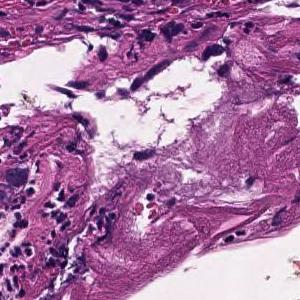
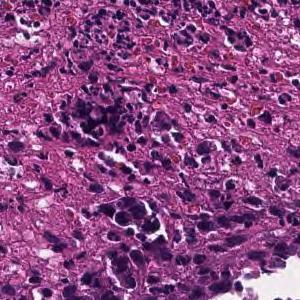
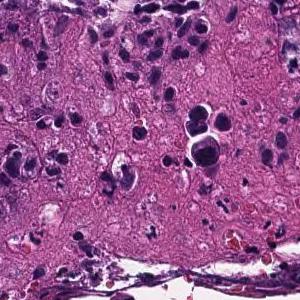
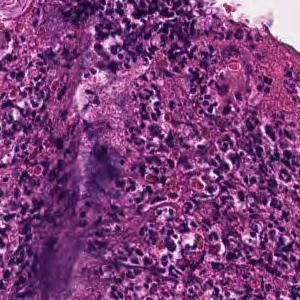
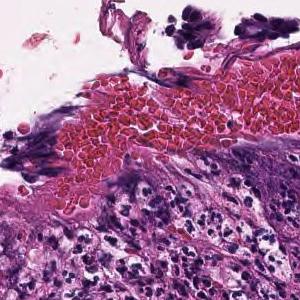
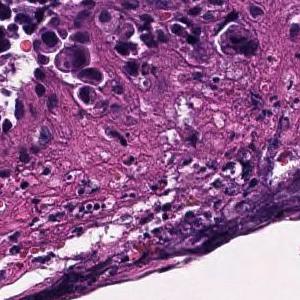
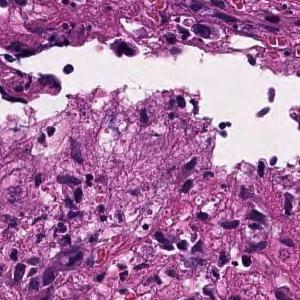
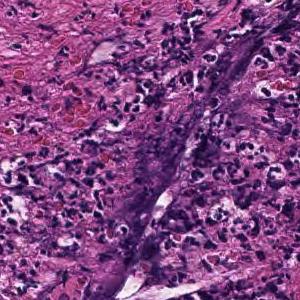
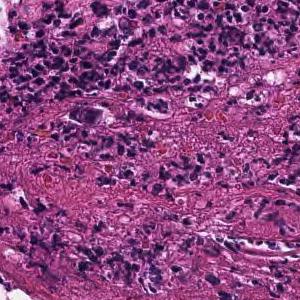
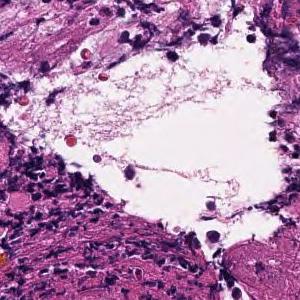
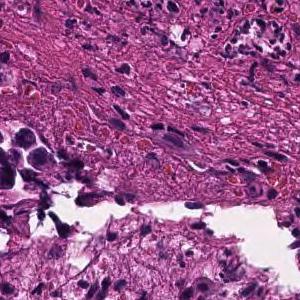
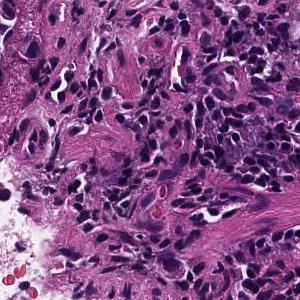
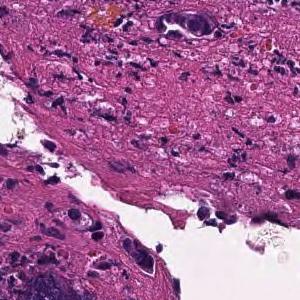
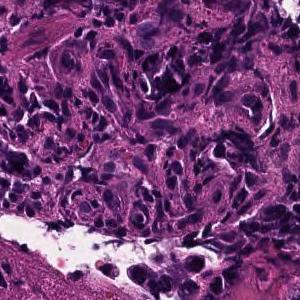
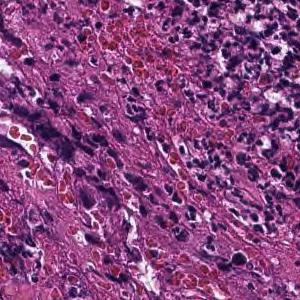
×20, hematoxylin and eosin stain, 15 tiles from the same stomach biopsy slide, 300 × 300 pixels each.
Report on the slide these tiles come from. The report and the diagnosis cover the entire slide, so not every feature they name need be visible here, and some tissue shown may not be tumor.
Tumor tissue consisting of cord-like or small, irregular glandular ducts fused and infiltrated is observed in the superficial epithelium. Poorly differentiated adenocarcinoma, non-solid type
The term "non-solid type" comes from the Japanese Classification of Gastric Carcinoma.
